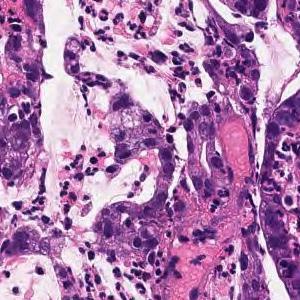
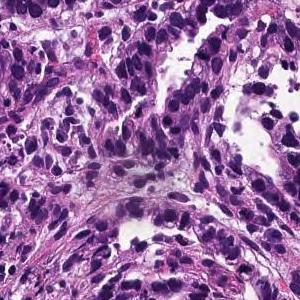
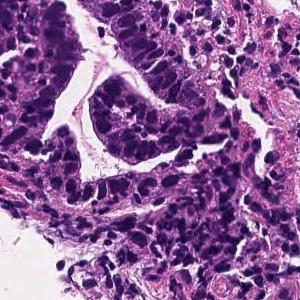
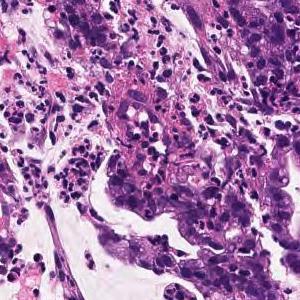
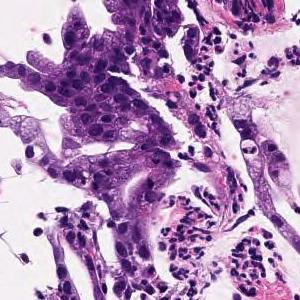
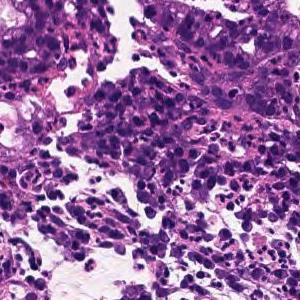
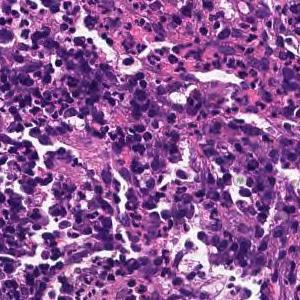
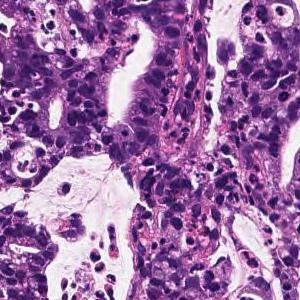
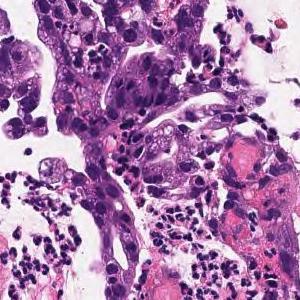
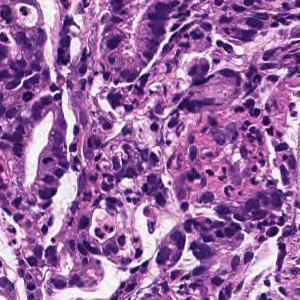
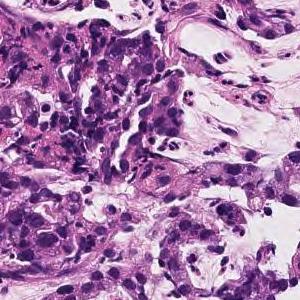
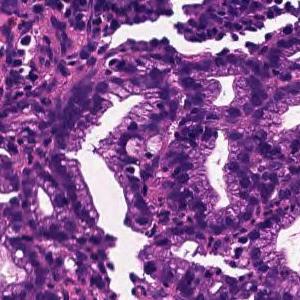
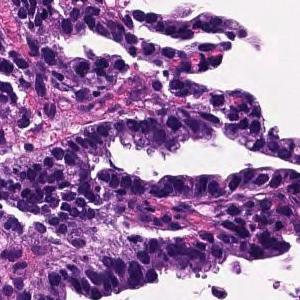
Hematoxylin and eosin stain · 13 tiles cut from one stomach biopsy slide.
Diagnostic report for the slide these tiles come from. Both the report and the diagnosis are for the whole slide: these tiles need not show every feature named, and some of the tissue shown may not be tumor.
On the superficial epithelium, tumor tissue consisting of large, irregular glandular ducts partially fused and infiltrated is observed. Well to moderately differentiated tubular adenocarcinoma (well differentiated tubular adenocarcinoma, moderately differentiated tubular adenocarcinoma)
Tumor subtype: well to moderately differentiated tubular adenocarcinoma.
